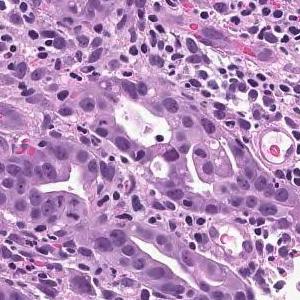
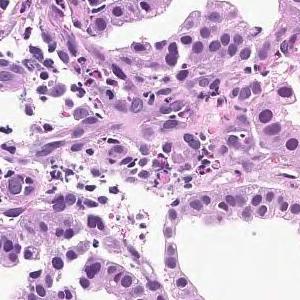
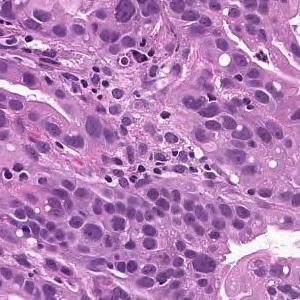
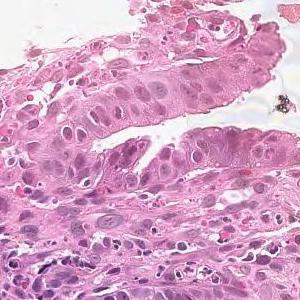
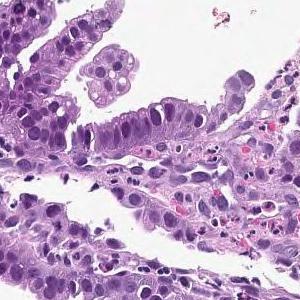
Scanned at ×20; H&E stain; 5 image tiles from a single gastric biopsy slide; 300×300 px each.
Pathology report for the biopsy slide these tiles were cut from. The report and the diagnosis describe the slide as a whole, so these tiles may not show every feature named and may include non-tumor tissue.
On the superficial epithelium, tumor tissue that infiltrates by forming medium-sized papillary or small irregular ducts is observed. Papillary adenocarcinoma
